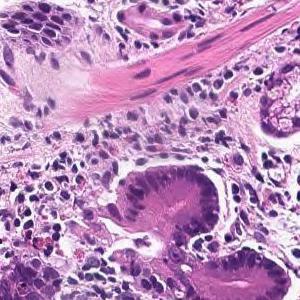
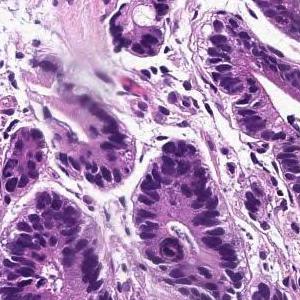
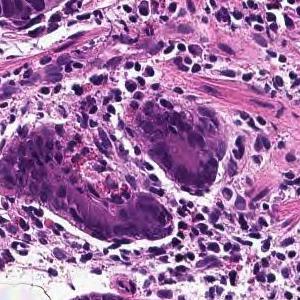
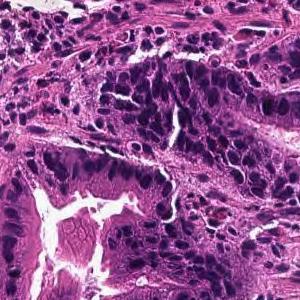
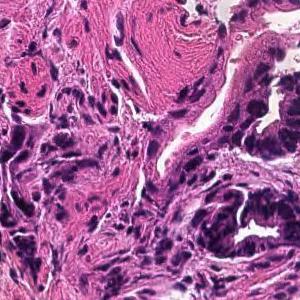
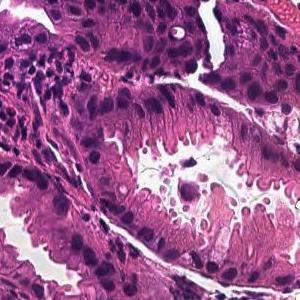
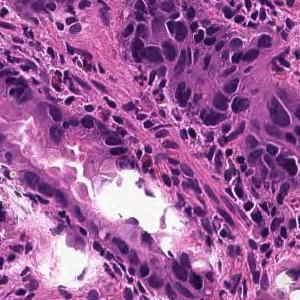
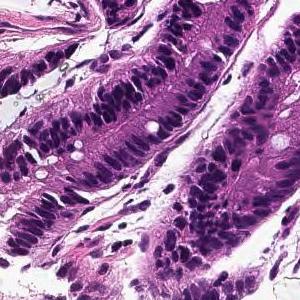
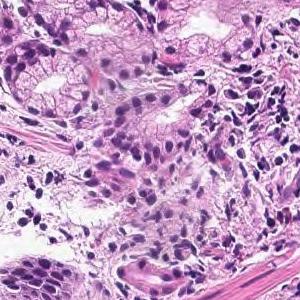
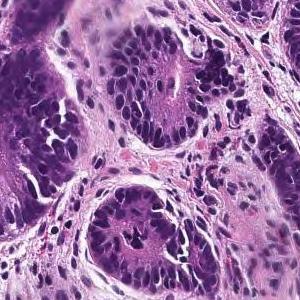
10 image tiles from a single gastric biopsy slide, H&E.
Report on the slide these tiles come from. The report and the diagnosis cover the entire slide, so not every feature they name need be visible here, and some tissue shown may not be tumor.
From the superficial epithelium to the muscularis mucosae, tumor tissue consisting of medium-sized and irregular glandular ducts infiltrating is observed. Well differentiated tubular adenocarcinoma
